4 image tiles from a single gastric biopsy slide; 300 × 300 pixels each; 20× magnification; H&E stain.
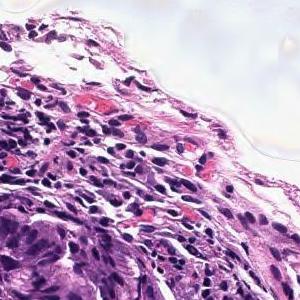
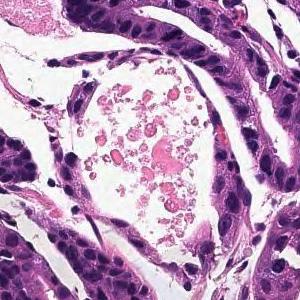
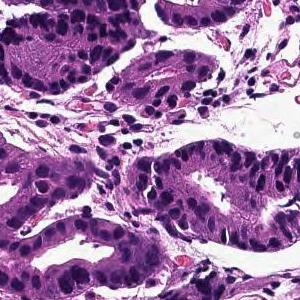
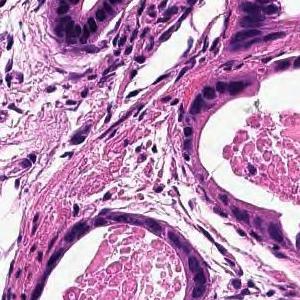
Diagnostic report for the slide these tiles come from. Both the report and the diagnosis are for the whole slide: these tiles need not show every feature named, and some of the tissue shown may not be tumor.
From the superficial epithelium to the muscularis mucosae, tumor tissue consisting of medium-sized and irregular glandular ducts infiltrating is observed. Well differentiated tubular adenocarcinoma
